Hematoxylin and eosin stain, ×20, 14 image tiles from a single gastric biopsy slide.
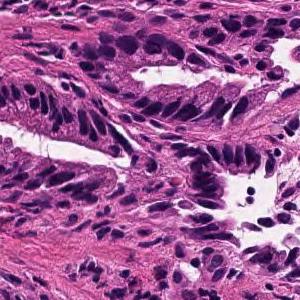
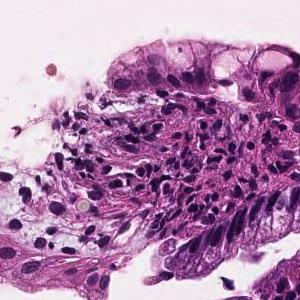
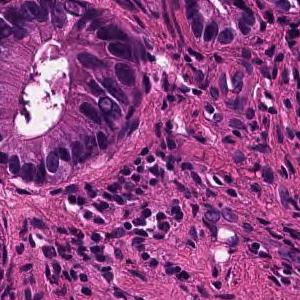
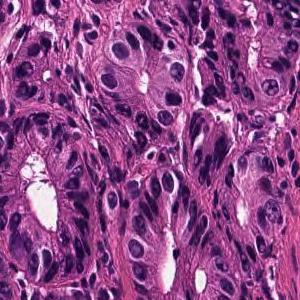
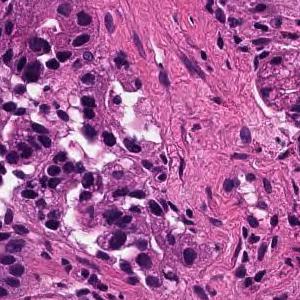
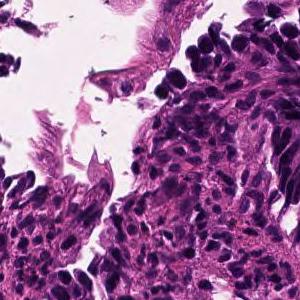
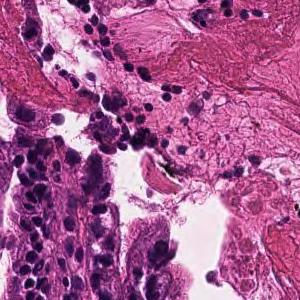
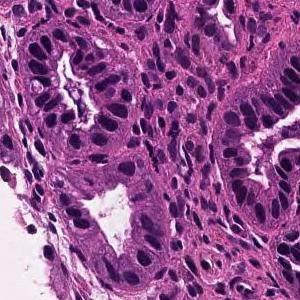
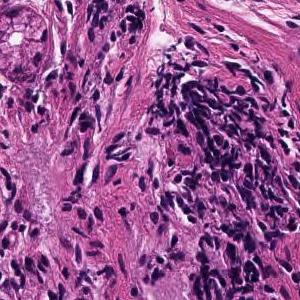
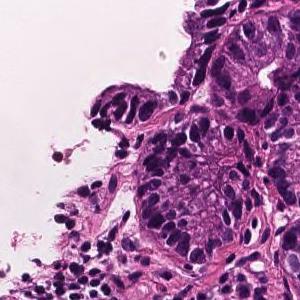
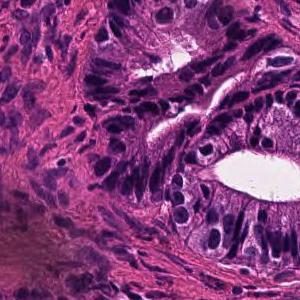
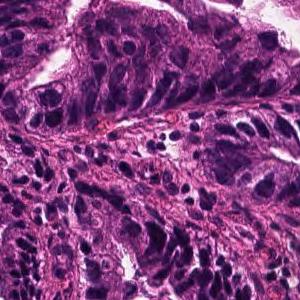
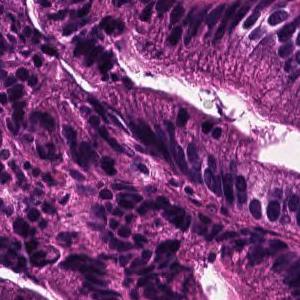
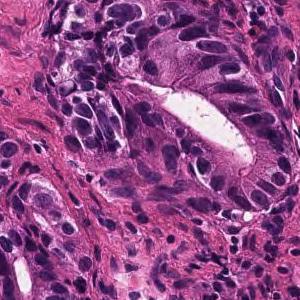
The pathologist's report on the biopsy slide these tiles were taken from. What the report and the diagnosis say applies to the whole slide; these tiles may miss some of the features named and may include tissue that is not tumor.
In the superficial epithelium, tumor tissue that invades by forming medium-sized to small, irregular ducts is observed. Well differentiated tubular adenocarcinoma.
